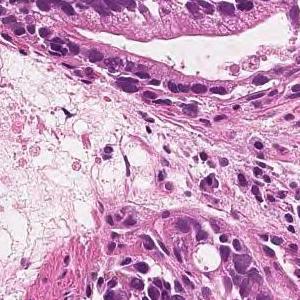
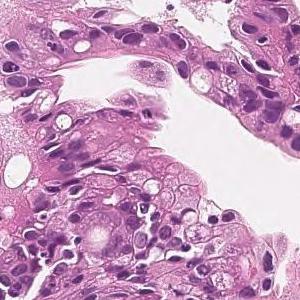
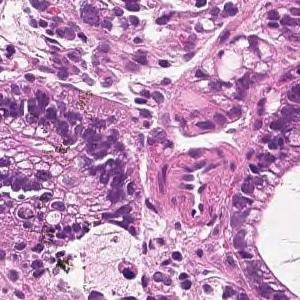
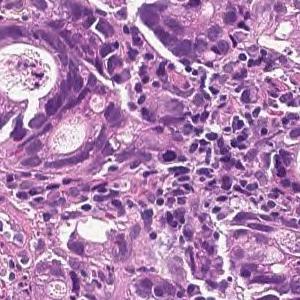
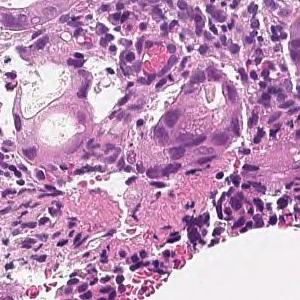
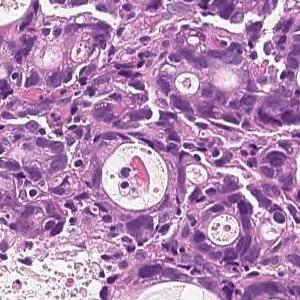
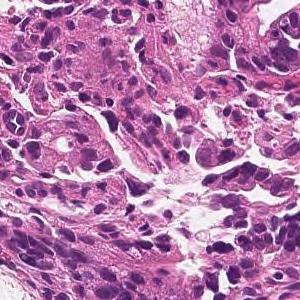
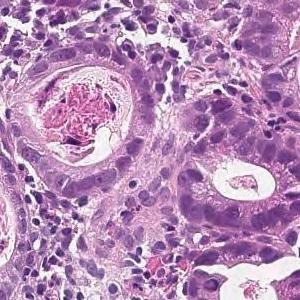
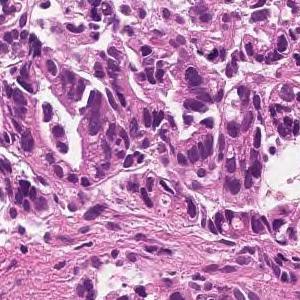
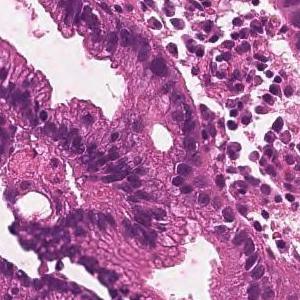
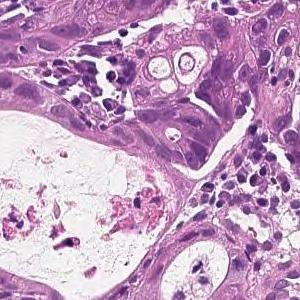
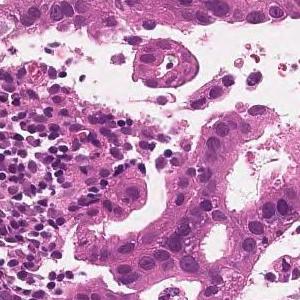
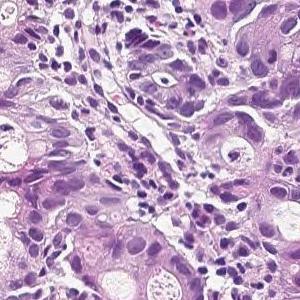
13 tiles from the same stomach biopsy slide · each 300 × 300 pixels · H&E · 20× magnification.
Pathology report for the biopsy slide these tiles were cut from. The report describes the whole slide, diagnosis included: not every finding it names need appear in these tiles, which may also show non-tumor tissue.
On the superficial epithelium, tumor tissue is found in which medium-sized irregular gland ducts fuse with each other and infiltrate. moderately differentiated tubular adenocarcinoma
